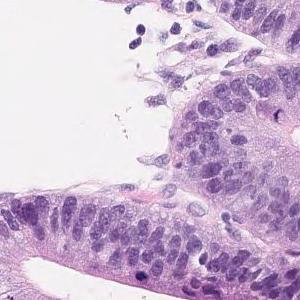
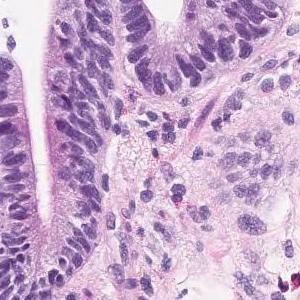
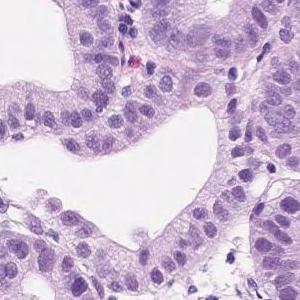
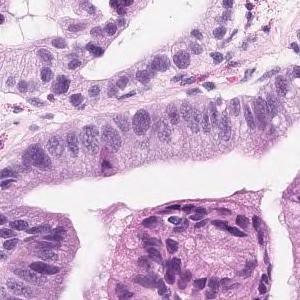
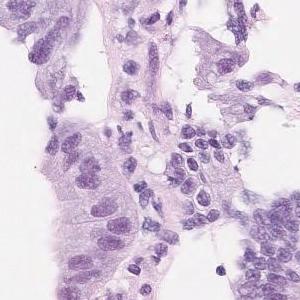
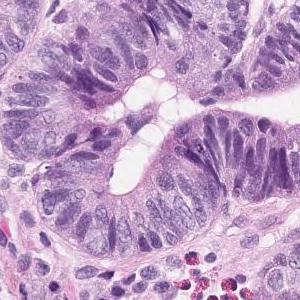
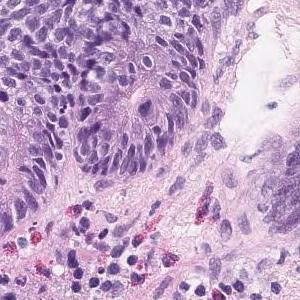
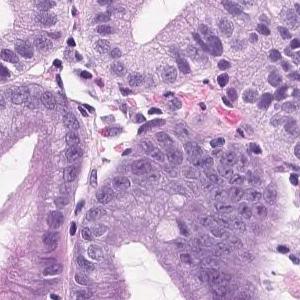
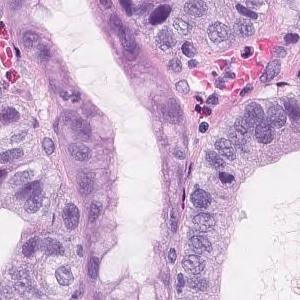
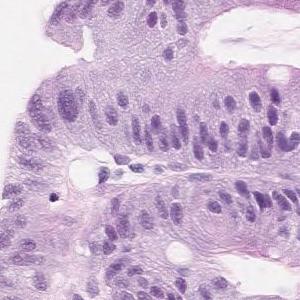
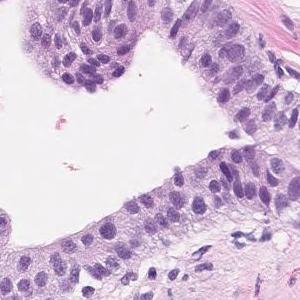
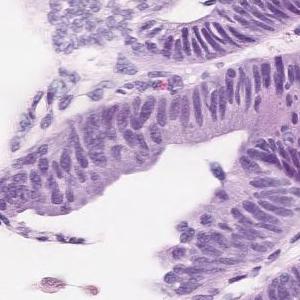
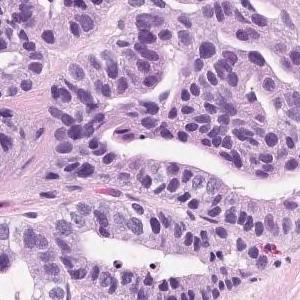
20× magnification; hematoxylin and eosin stain; 13 tiles cut from one stomach biopsy slide; 300×300 px each.
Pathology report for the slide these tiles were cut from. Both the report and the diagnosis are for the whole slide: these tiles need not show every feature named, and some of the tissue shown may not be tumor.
Short atypical epithelium with swelling of the nucleus shows proliferating, large and small irregular ductal structures. Well to moderately differentiated tubular adenocarcinoma (well differentiated tubular adenocarcinoma-moderately differentiated tubular adenocarcinoma)
Tumor subtype: well to moderately differentiated tubular adenocarcinoma.
